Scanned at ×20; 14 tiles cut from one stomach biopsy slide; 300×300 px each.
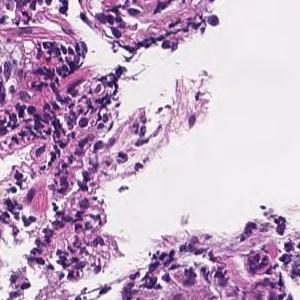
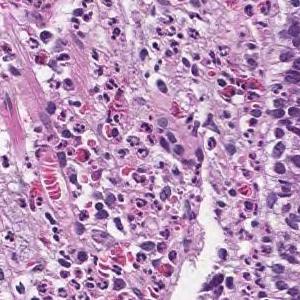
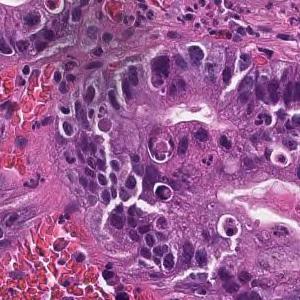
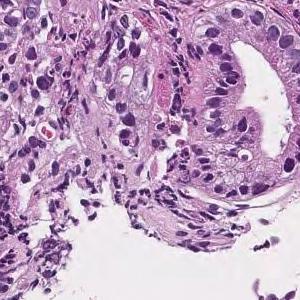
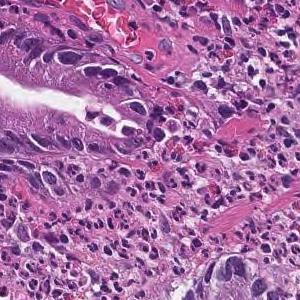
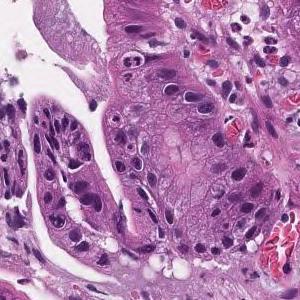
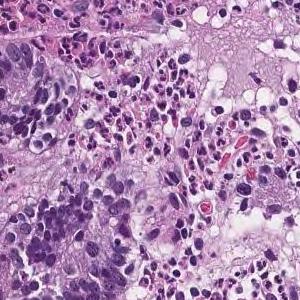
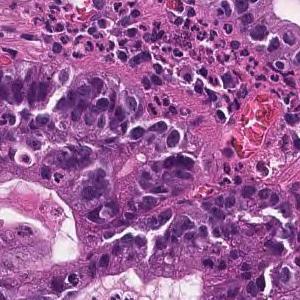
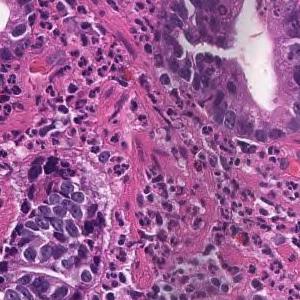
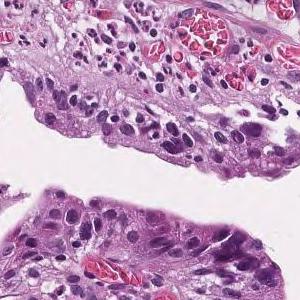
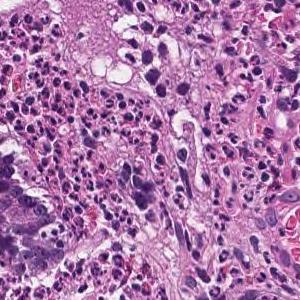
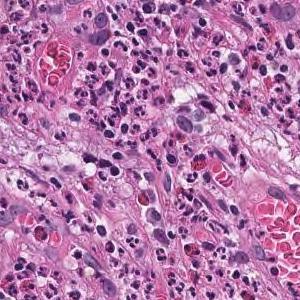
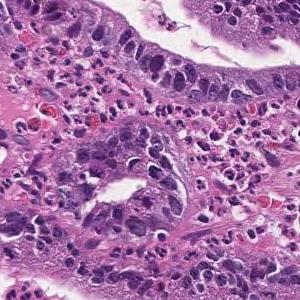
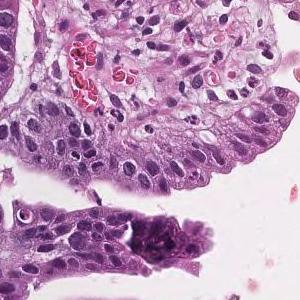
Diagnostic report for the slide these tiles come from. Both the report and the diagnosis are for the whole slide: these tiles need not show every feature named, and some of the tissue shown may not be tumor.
Tumor cells are large, highly columnar, large club-shaped nuclei, and are associated with chromatin aggregation. Papillary adenocarcinoma.
